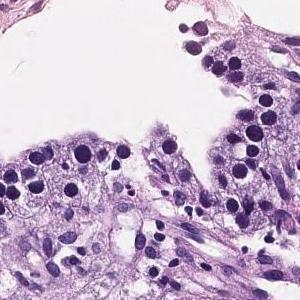
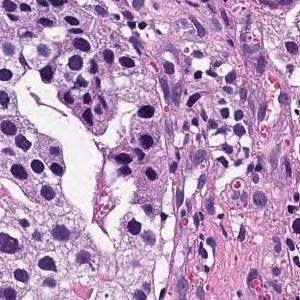
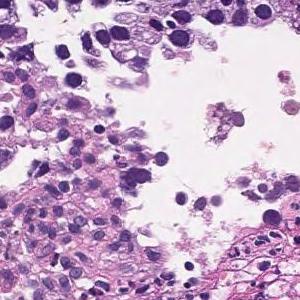
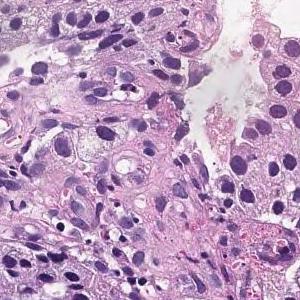
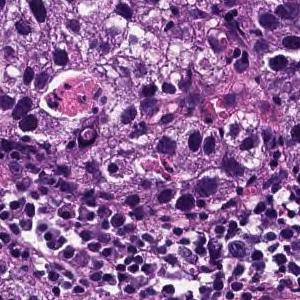
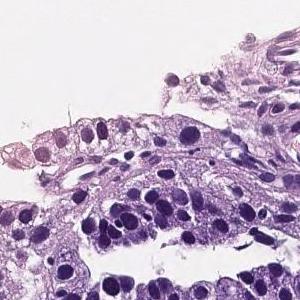
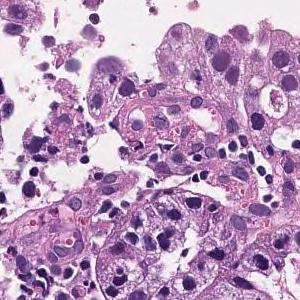
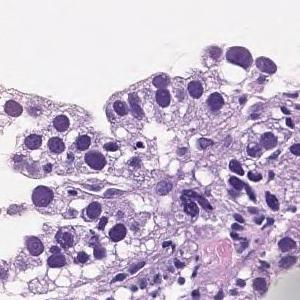
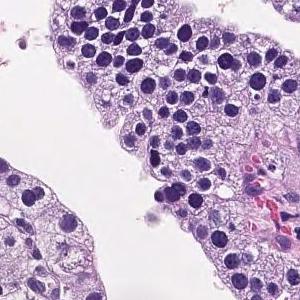
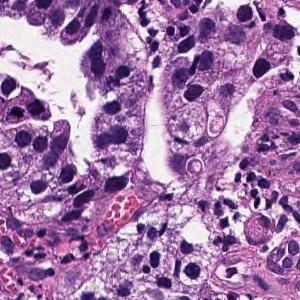
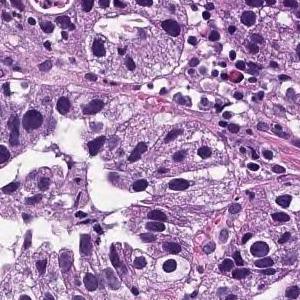
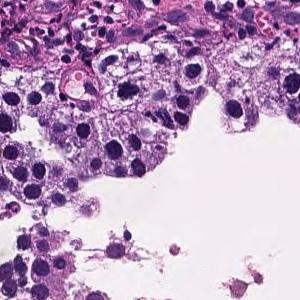
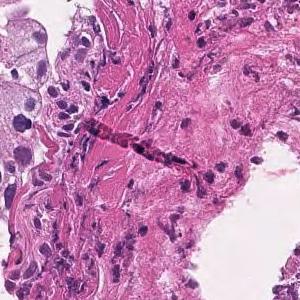
13 patches cut from one gastric biopsy slide · H&E stain.
Report on the slide these tiles come from. What the report and the diagnosis say applies to the whole slide; these tiles may miss some of the features named and may include tissue that is not tumor.
On the superficial epithelium, tumor tissue that infiltrates by forming medium-sized papillary or small irregular ducts is observed. Papillary adenocarcinoma
